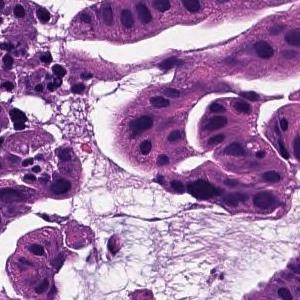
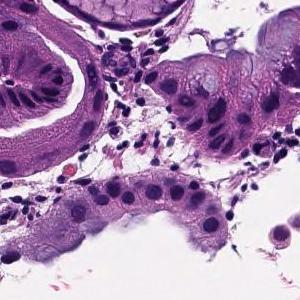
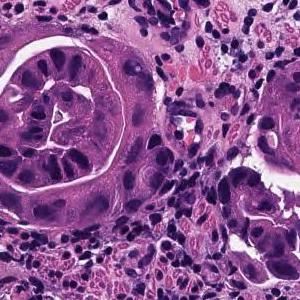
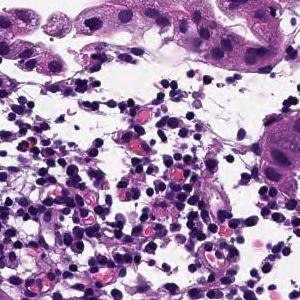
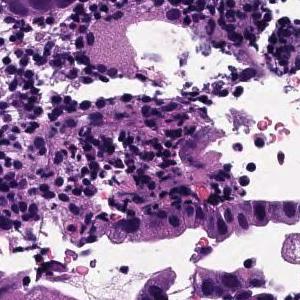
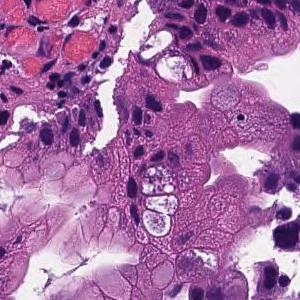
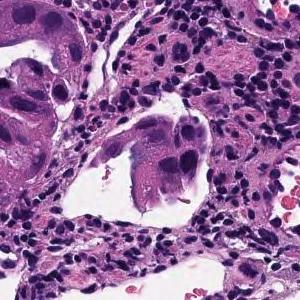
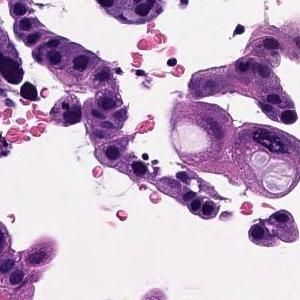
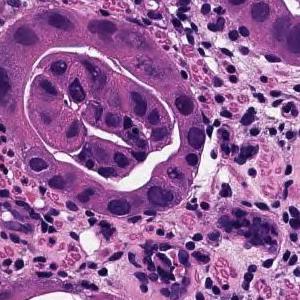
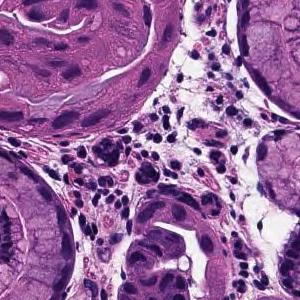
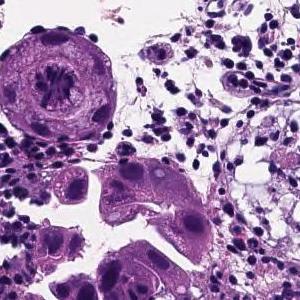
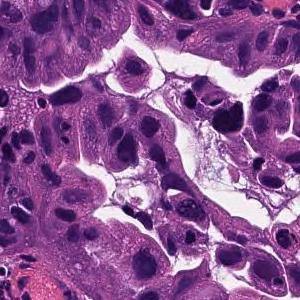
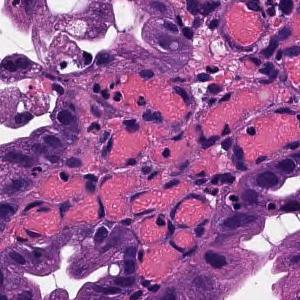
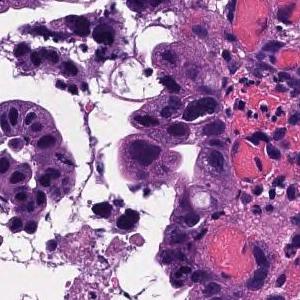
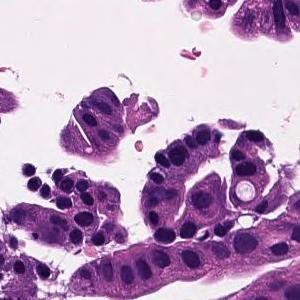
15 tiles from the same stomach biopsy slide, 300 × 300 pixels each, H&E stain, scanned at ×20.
The pathologist's report on the biopsy slide these tiles were taken from. Both the report and the diagnosis are for the whole slide: these tiles need not show every feature named, and some of the tissue shown may not be tumor.
Tumor tissue consisting of large papillary structures is found in the superficial epithelium. Papillary adenocarcinoma.
